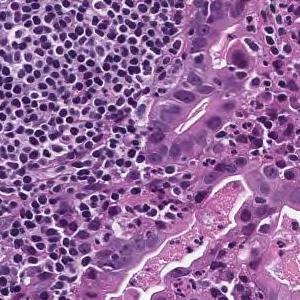
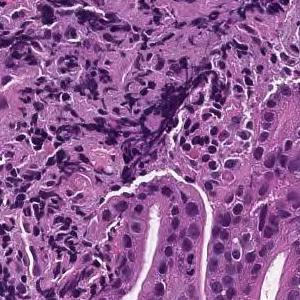
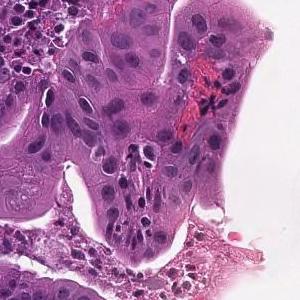
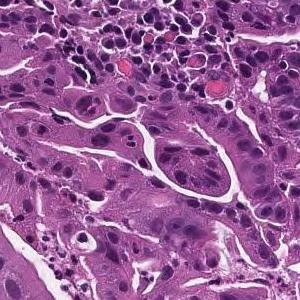
4 patches cut from one gastric biopsy slide, each 300 × 300 pixels, 20× magnification, hematoxylin and eosin stain.
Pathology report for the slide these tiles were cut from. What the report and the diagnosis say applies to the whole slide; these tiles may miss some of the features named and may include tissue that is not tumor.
From the superficial epithelium to the muscularis mucosae, tumor tissue consisting of medium-sized and irregular glandular ducts infiltrating is observed. Well differentiated tubular adenocarcinoma
